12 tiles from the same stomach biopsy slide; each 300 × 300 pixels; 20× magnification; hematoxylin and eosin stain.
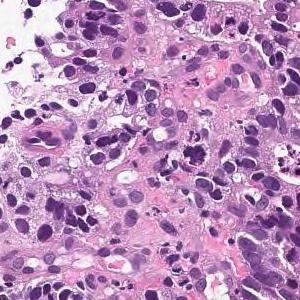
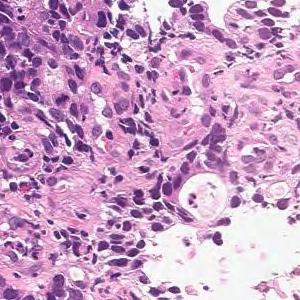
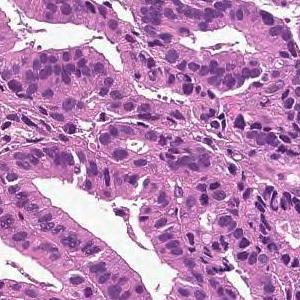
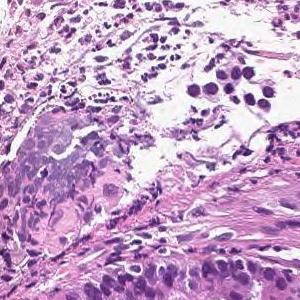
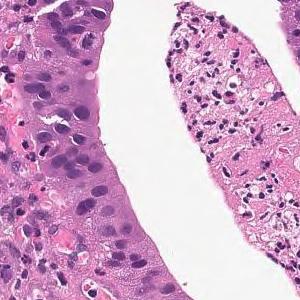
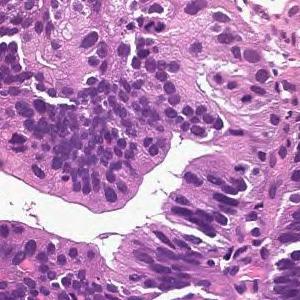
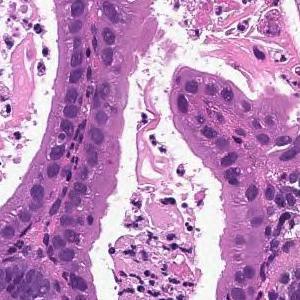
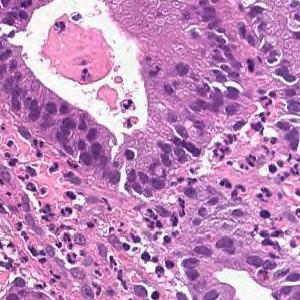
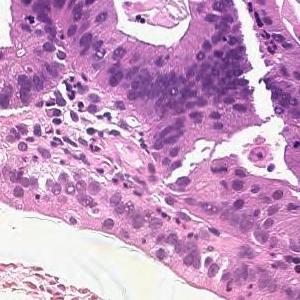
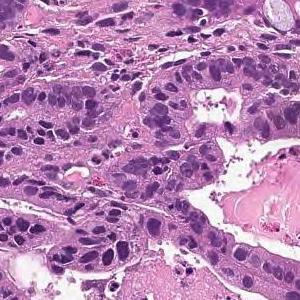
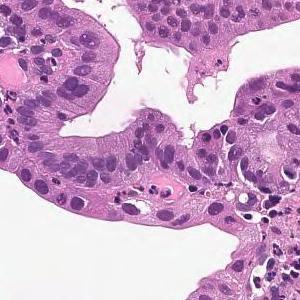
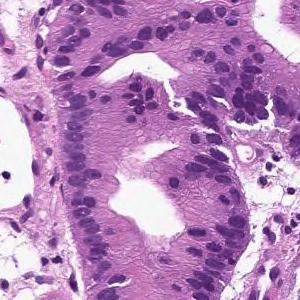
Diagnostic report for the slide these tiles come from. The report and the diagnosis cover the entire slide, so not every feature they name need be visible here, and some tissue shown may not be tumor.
From the superficial epithelium to the muscularis mucosae, tumor tissue consisting of medium-sized and irregular glandular ducts infiltrating is observed. Well differentiated tubular adenocarcinoma
